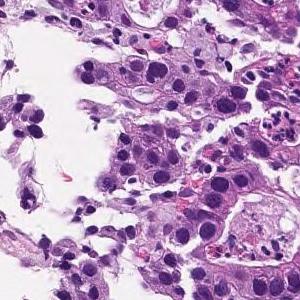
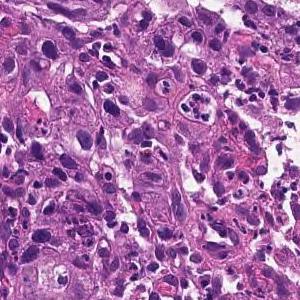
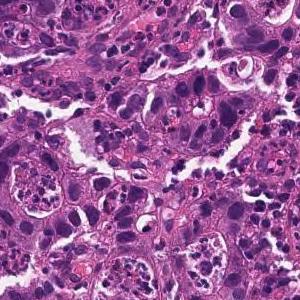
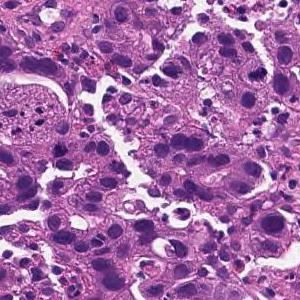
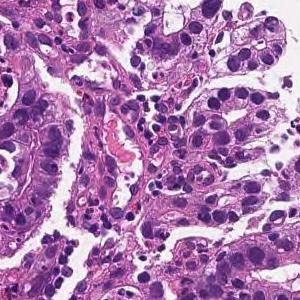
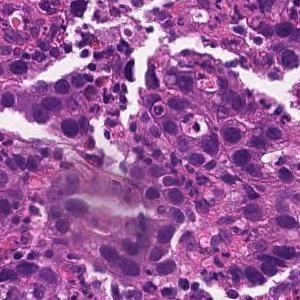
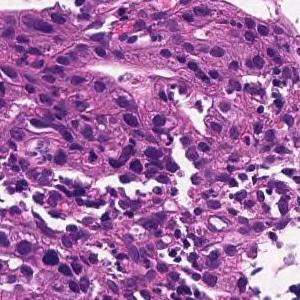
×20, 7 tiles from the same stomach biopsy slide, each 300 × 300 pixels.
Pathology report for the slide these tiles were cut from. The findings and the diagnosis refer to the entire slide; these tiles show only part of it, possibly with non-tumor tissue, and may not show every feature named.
Medium to small, irregular glandular ducts are formed in the superficial epithelium, and in some cases, the glandular ducts are fused to show solid alveolar lesions and infiltrating tumor tissue is observed. Moderately to poorly differentiated adenocarcinoma.
